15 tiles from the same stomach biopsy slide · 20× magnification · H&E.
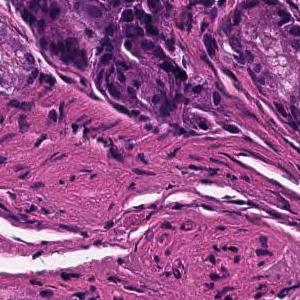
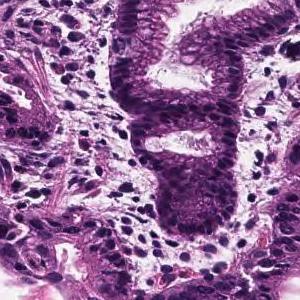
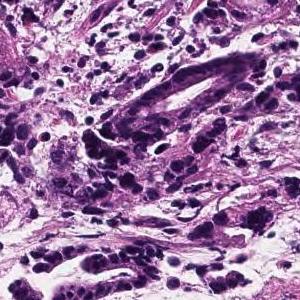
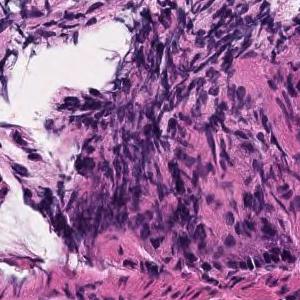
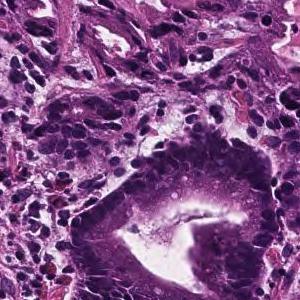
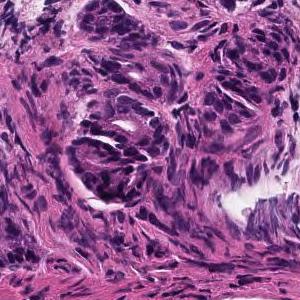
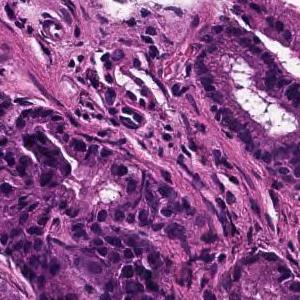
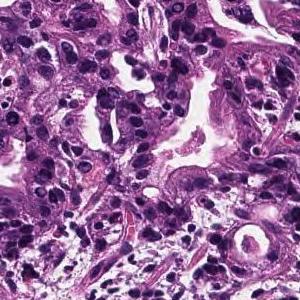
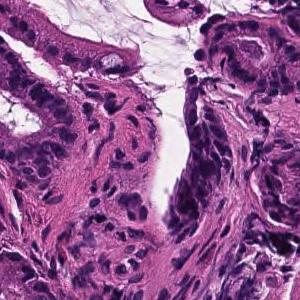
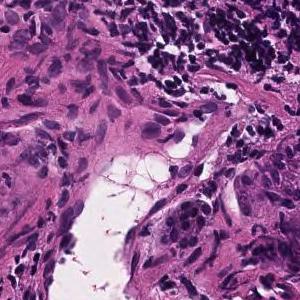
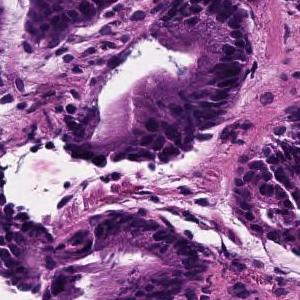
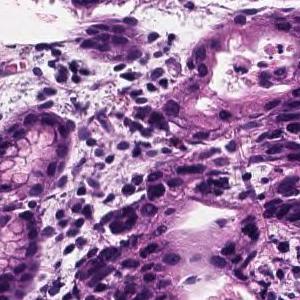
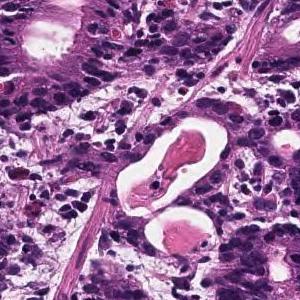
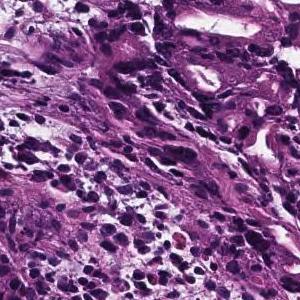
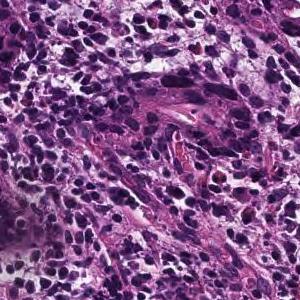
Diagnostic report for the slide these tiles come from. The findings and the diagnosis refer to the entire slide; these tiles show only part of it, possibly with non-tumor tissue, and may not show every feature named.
In the superficial epithelium, tumor tissue infiltrated by partial fusion of medium-sized to small, irregular glandular ducts is observed. moderately differentiated tubular adenocarcinoma
